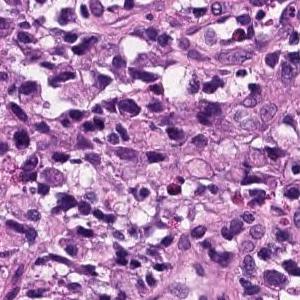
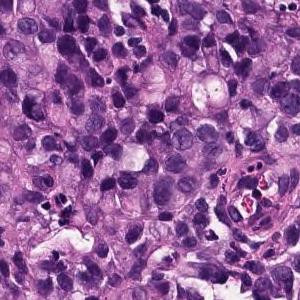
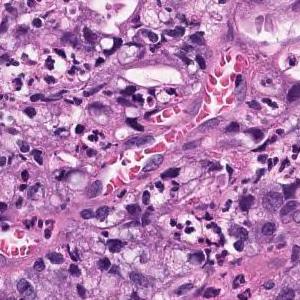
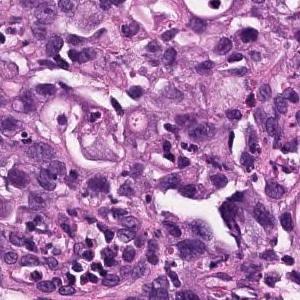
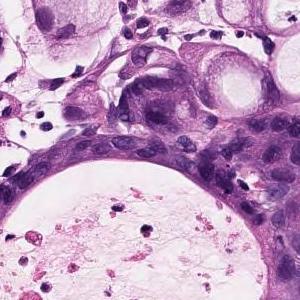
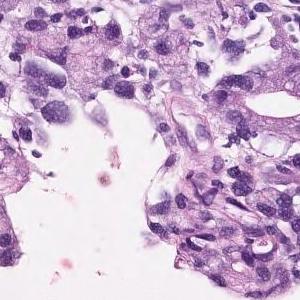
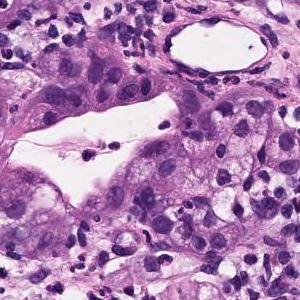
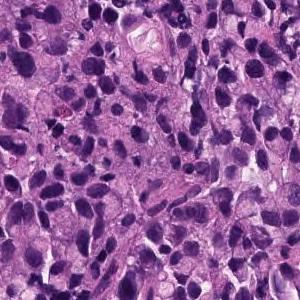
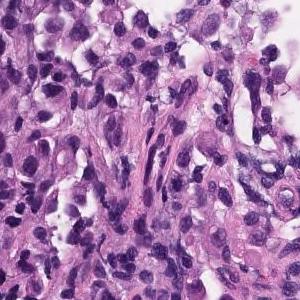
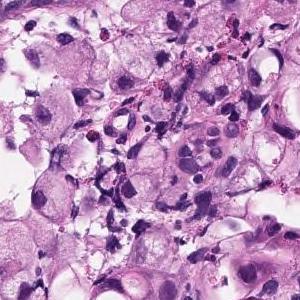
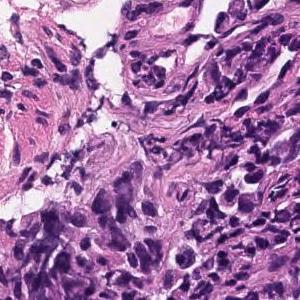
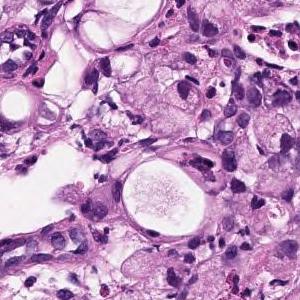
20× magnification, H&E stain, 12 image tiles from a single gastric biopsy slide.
Report on the slide these tiles come from. The report and the diagnosis describe the slide as a whole, so these tiles may not show every feature named and may include non-tumor tissue.
Atypical epithelium forms irregularly fused gland ducts and proliferates. Poorly differentiated adenocarcinoma.
Classified as poorly differentiated adenocarcinoma, non-solid type.
The non-solid type named here is a Japanese Classification of Gastric Carcinoma category.
